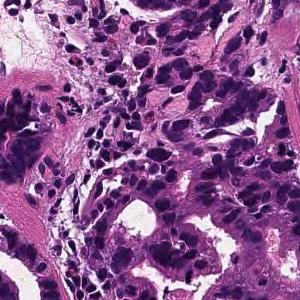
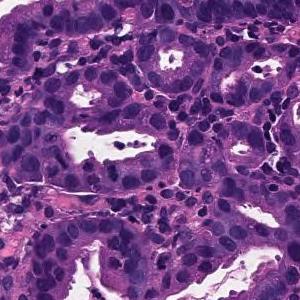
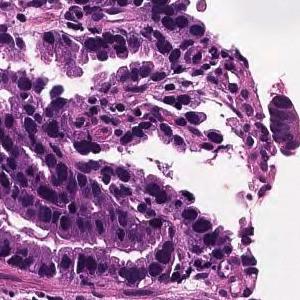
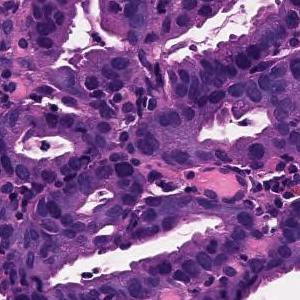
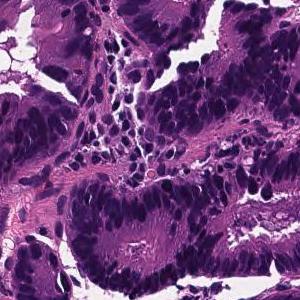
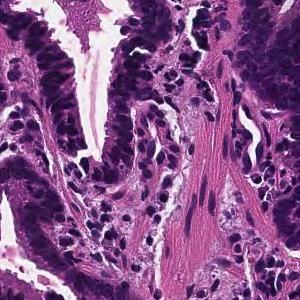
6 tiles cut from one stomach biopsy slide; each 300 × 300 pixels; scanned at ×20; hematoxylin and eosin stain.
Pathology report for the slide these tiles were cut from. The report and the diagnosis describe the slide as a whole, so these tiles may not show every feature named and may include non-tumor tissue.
On the superficial epithelium, tumor tissue is found in which medium-sized irregular gland ducts fuse with each other and infiltrate. moderately differentiated tubular adenocarcinoma
